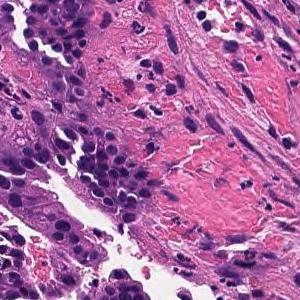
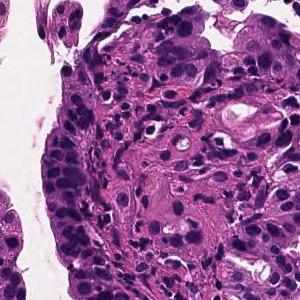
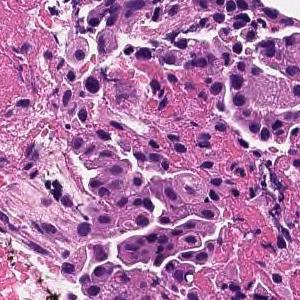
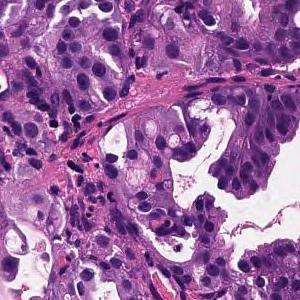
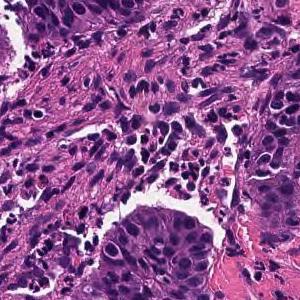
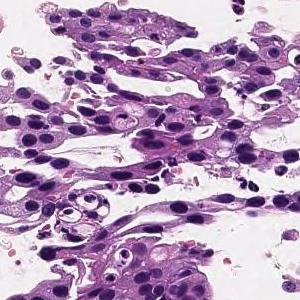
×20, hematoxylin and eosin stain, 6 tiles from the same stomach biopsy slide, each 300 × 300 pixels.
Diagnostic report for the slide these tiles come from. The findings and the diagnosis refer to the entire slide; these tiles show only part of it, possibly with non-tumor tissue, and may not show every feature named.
On the superficial epithelium, tumor tissue consisting of large, irregular glandular ducts partially fused and infiltrated is observed. Well to moderately differentiated tubular adenocarcinoma (well differentiated tubular adenocarcinoma, moderately differentiated tubular adenocarcinoma)
Tumor subtype: well to moderately differentiated tubular adenocarcinoma.
